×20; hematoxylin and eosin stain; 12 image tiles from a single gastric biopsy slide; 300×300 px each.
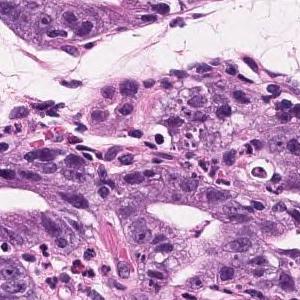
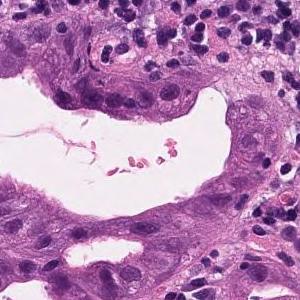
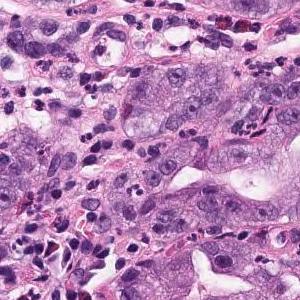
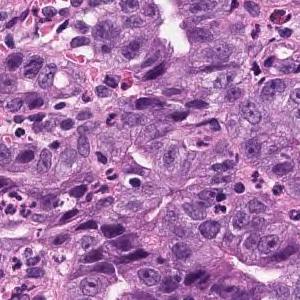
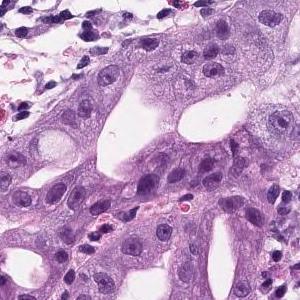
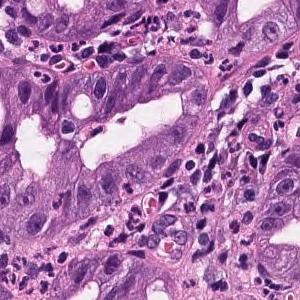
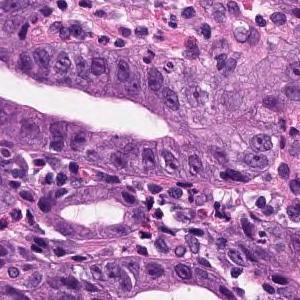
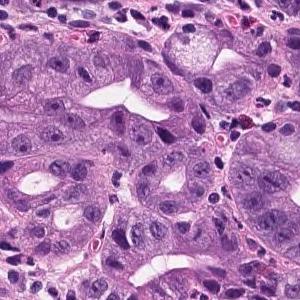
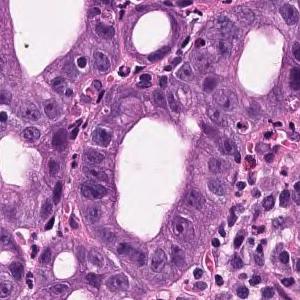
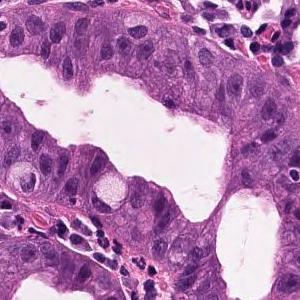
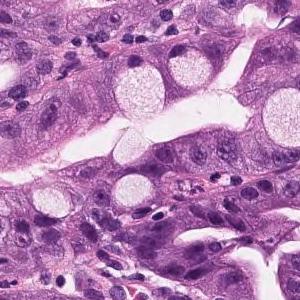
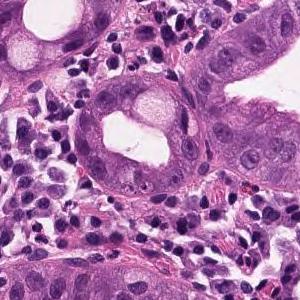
Pathology report for the biopsy slide these tiles were cut from. The findings and the diagnosis refer to the entire slide; these tiles show only part of it, possibly with non-tumor tissue, and may not show every feature named.
In the superficial epithelium, tumor tissue that invades by forming medium-sized to small, irregular ducts is observed. Well to moderately differentiated adenocarcinoma (well differentiated tubular adenocarcinoma, moderately differentiated tubular adenocarcinoma).
Tumor subtype: well to moderately differentiated tubular adenocarcinoma.
